20× magnification · H&E stain · 11 tiles from the same stomach biopsy slide · 300 × 300 pixels each.
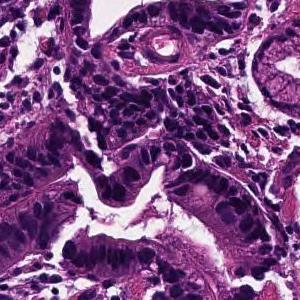
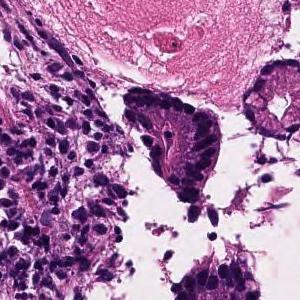
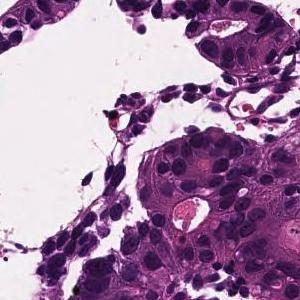
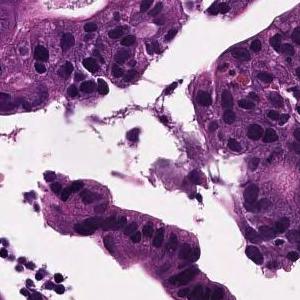
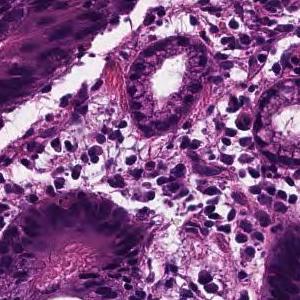
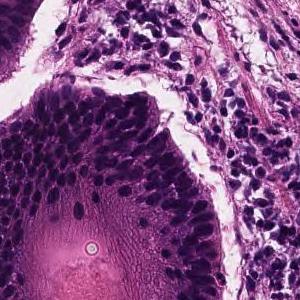
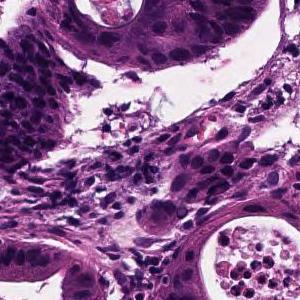
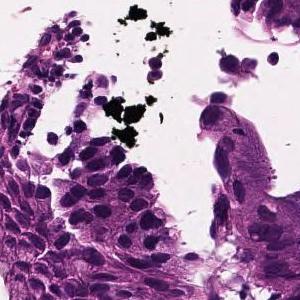
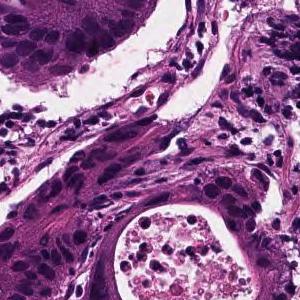
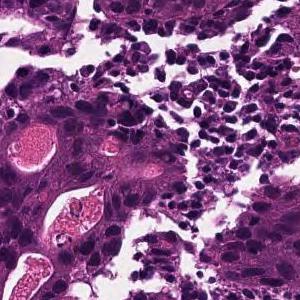
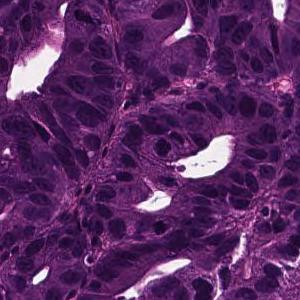
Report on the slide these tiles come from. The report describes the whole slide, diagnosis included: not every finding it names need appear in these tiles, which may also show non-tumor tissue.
In the superficial epithelium, tumor tissue that invades by forming medium-sized to small, irregular ducts is observed. moderately differentiated tubular adenocarcinoma.
